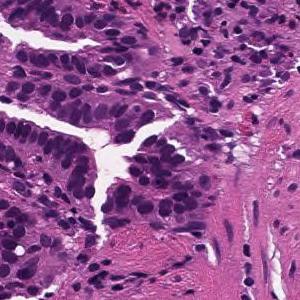
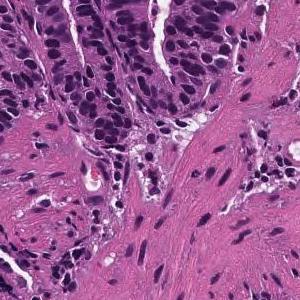
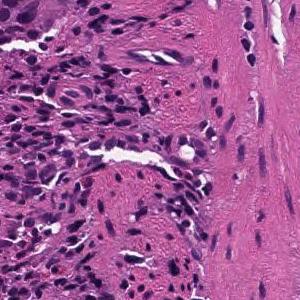
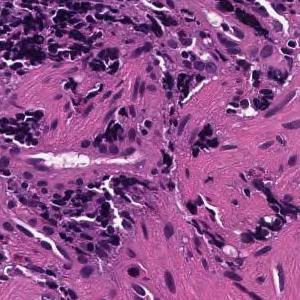
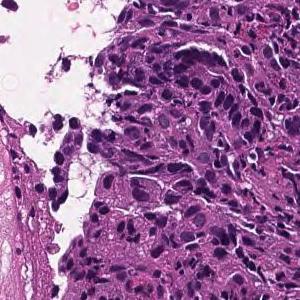
5 tiles cut from one stomach biopsy slide; scanned at ×20; H&E stain.
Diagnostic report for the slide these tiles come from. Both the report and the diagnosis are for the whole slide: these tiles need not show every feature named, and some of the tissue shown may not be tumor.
Tumor cells are large, highly columnar, large club-shaped nuclei, and are associated with chromatin aggregation. Papillary adenocarcinoma.
